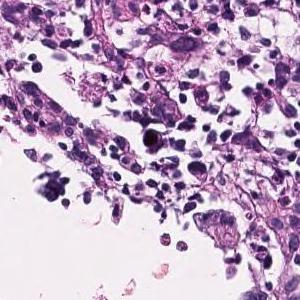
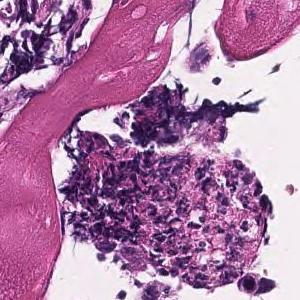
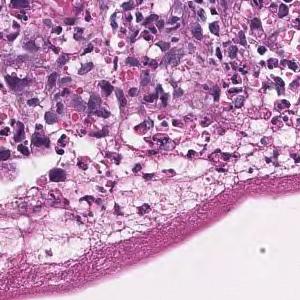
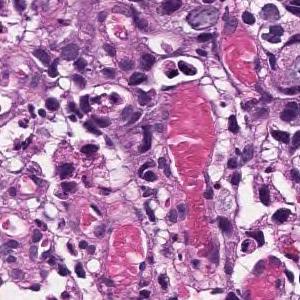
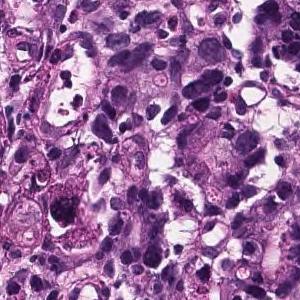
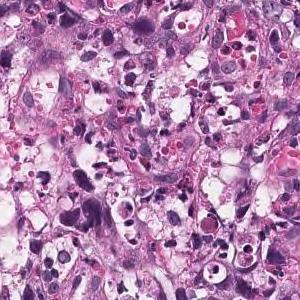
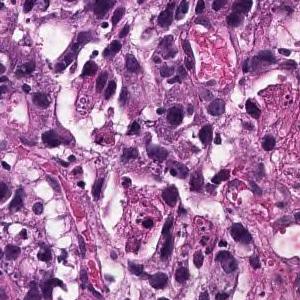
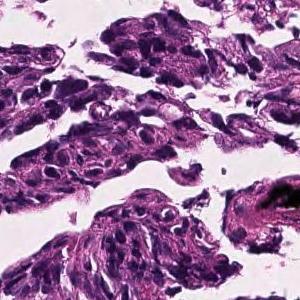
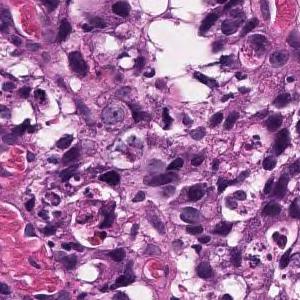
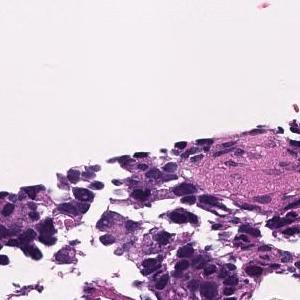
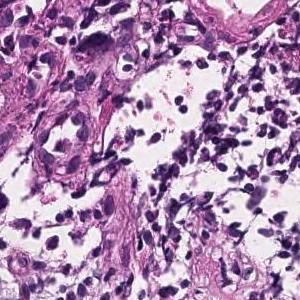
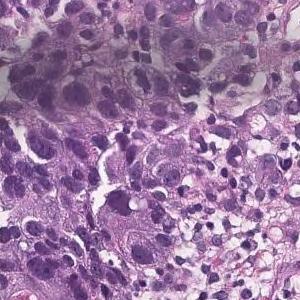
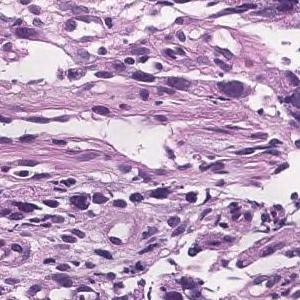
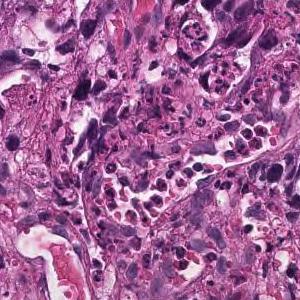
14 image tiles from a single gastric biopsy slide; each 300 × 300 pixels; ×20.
Diagnostic report for the slide these tiles come from. The report describes the whole slide, diagnosis included: not every finding it names need appear in these tiles, which may also show non-tumor tissue.
Tumor tissue consisting of medium-sized, cord-like or irregular glandular infiltration is observed in the superficial epithelium. Poorly differentiated adenocarcinoma, non-solid type or moderately differentiated tubular adenocarcinoma
The non-solid type named here is a Japanese Classification of Gastric Carcinoma category.
